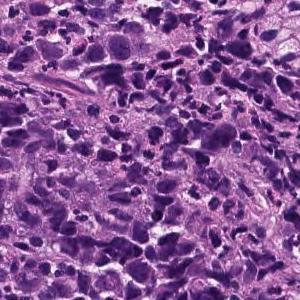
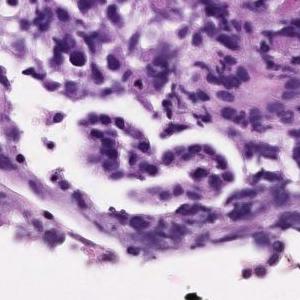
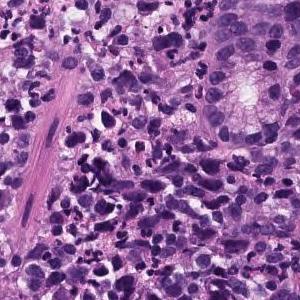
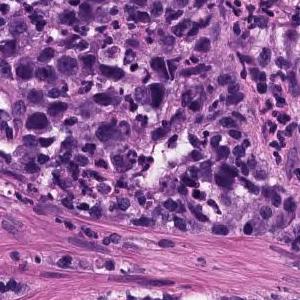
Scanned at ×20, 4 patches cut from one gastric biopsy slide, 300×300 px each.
Pathology report for the biopsy slide these tiles were cut from. The report and the diagnosis describe the slide as a whole, so these tiles may not show every feature named and may include non-tumor tissue.
Poorly differentiated, solid adenocarcinoma (poorly differentiated adenocarcinoma, solid type) with tumor tissue diffusely infiltrated with atypical epithelial cells
Classified as poorly differentiated adenocarcinoma, solid type (Japanese Classification of Gastric Carcinoma). The WHO 2019 equivalent is tubular adenocarcinoma, poorly differentiated.
